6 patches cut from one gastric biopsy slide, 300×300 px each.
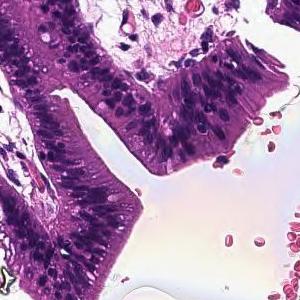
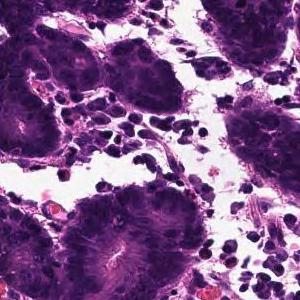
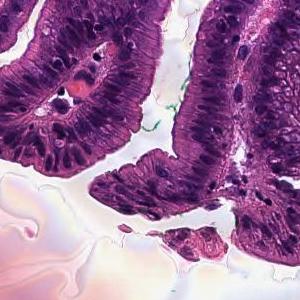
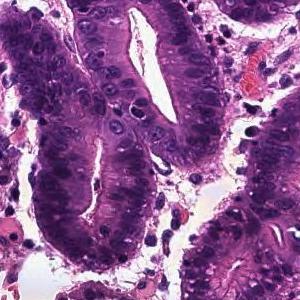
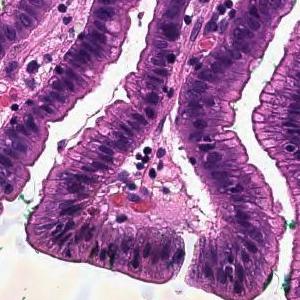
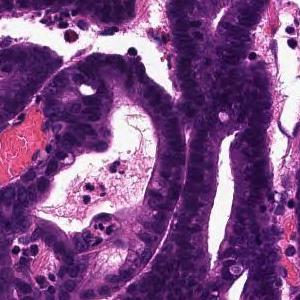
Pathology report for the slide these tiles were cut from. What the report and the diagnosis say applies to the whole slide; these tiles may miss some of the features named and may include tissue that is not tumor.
Tumor tissue that infiltrates by forming large papillary or large irregular glandular ducts is observed confined to the mucosa. Papillary adenocarcinoma
